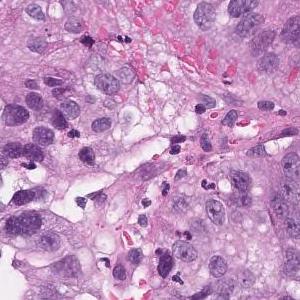
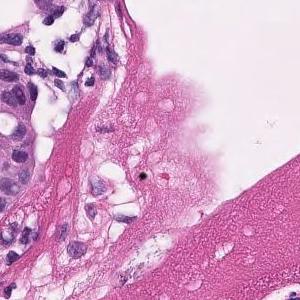
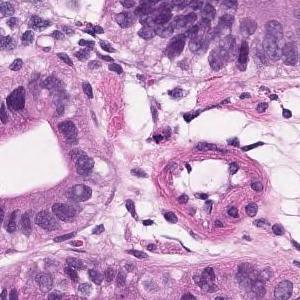
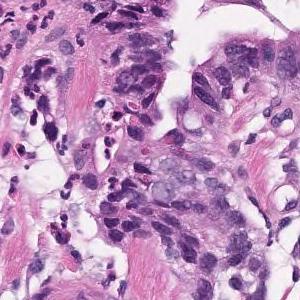
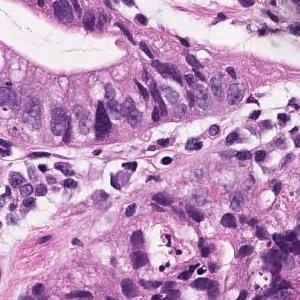
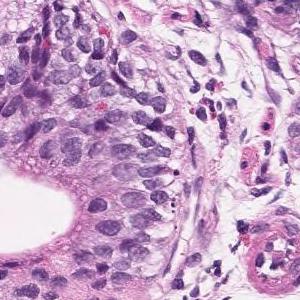
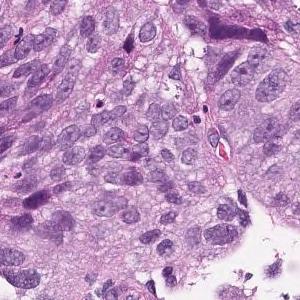
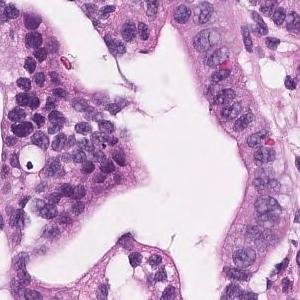
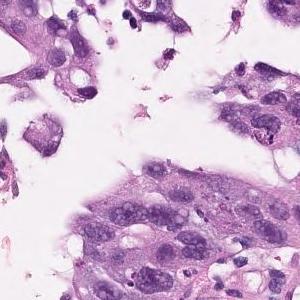
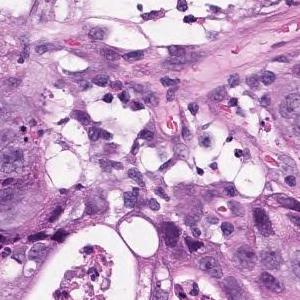
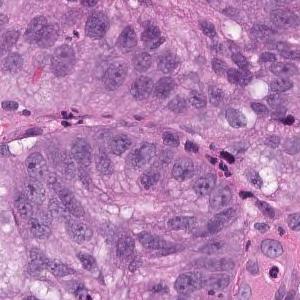
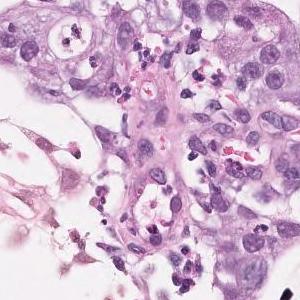
H&E stain, scanned at ×20, 12 patches cut from one gastric biopsy slide, 300×300 px each.
Report on the slide these tiles come from. The report describes the whole slide, diagnosis included: not every finding it names need appear in these tiles, which may also show non-tumor tissue.
On the superficial epithelium, tumor tissue consisting of medium to small irregular tubules partially fused and proliferated is observed. Well differentiated tubular adenocarcinoma
